6 patches cut from one gastric biopsy slide · 300×300 px each.
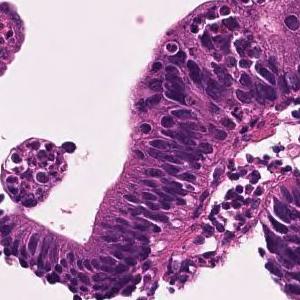
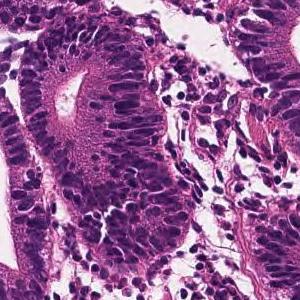
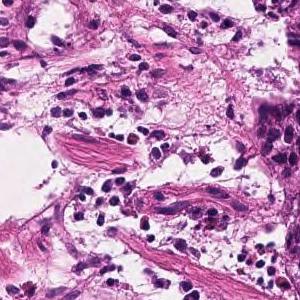
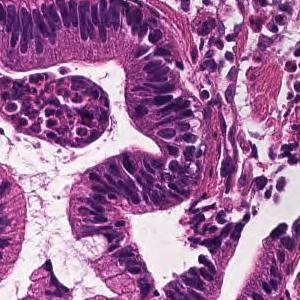
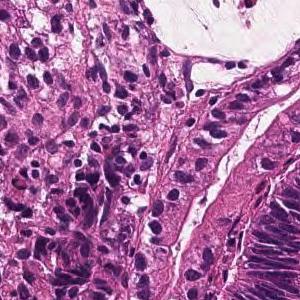
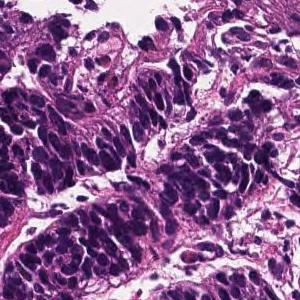
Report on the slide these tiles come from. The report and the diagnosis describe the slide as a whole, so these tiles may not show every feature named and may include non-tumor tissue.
A large irregular tubular structure is exhibited in the epithelium, and tumor tissue that partially fuses and infiltrates and proliferates is observed. Large columnar tumor cells exhibit enlarged nucleus, hyperchromatism, and mitotic figures. Well differentiated tubular adenocarcinoma
